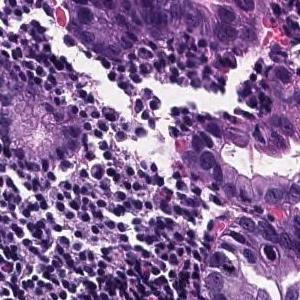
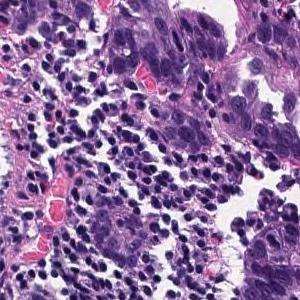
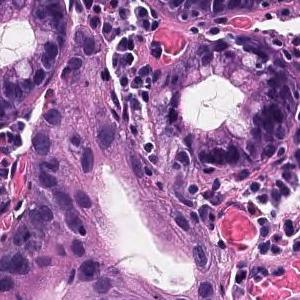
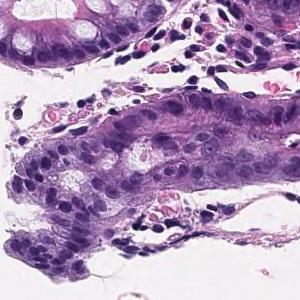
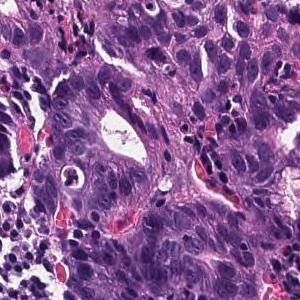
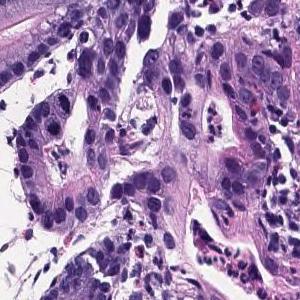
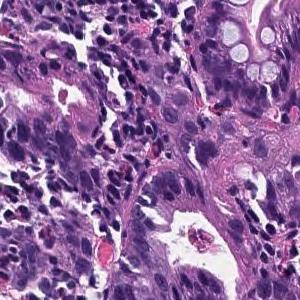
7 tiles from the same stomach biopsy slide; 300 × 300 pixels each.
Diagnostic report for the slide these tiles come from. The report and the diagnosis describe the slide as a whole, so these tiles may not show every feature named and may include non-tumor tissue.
Atypical ducts are found against the background of intestinal metaplasia. Moderately differentiated tubular adenocarcinoma, Well differentiated tubular adenocarcinoma.
